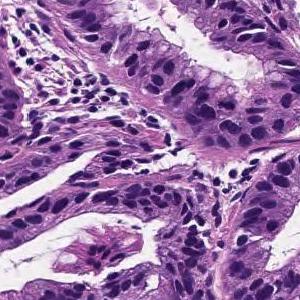
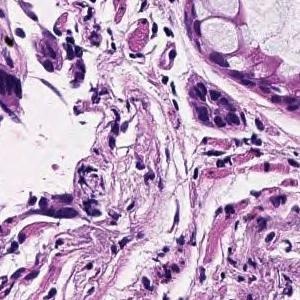
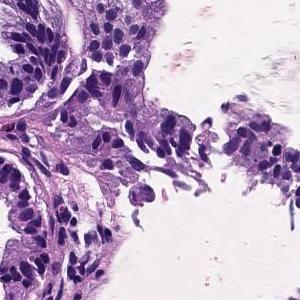
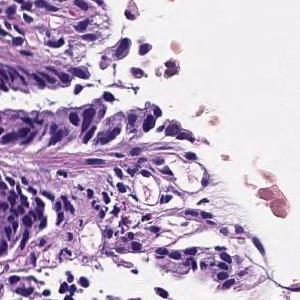
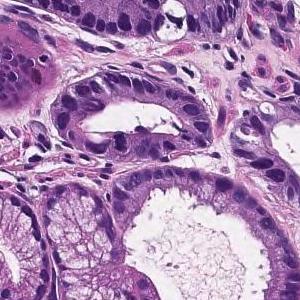
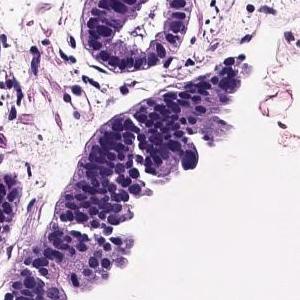
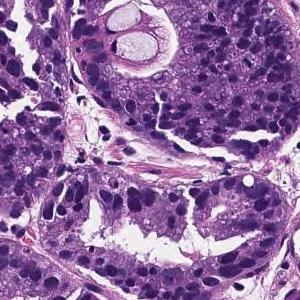
7 tiles from the same stomach biopsy slide; ×20; H&E.
Pathology report for the biopsy slide these tiles were cut from. The report and the diagnosis cover the entire slide, so not every feature they name need be visible here, and some tissue shown may not be tumor.
Tumor cells are large, highly columnar, large club-shaped nuclei, and are associated with chromatin aggregation. Papillary adenocarcinoma.
